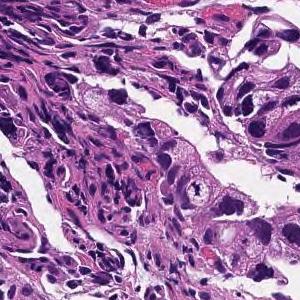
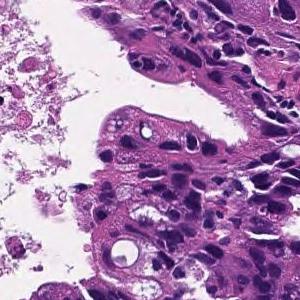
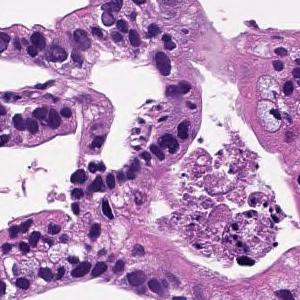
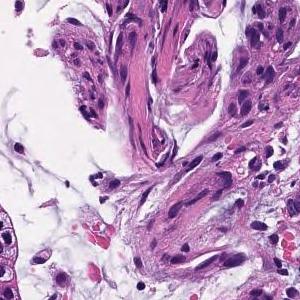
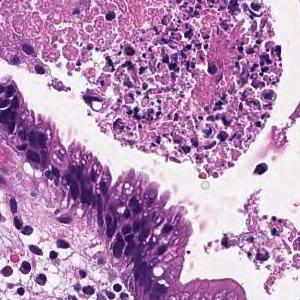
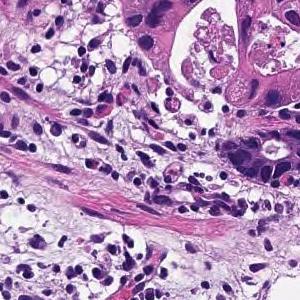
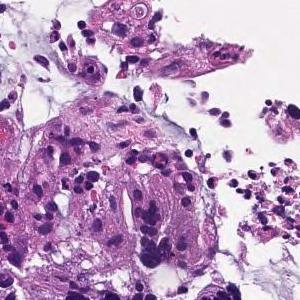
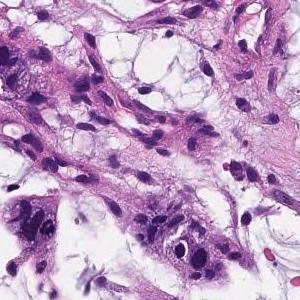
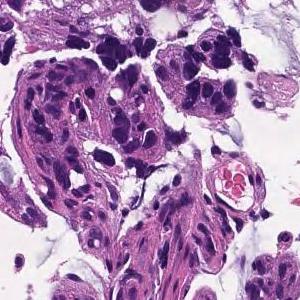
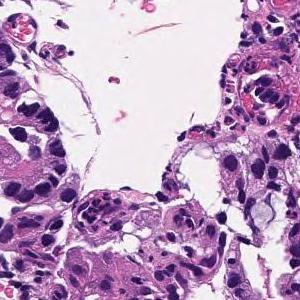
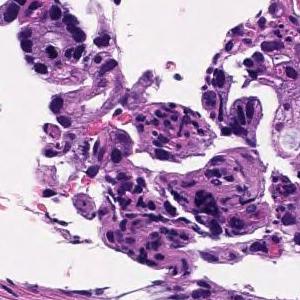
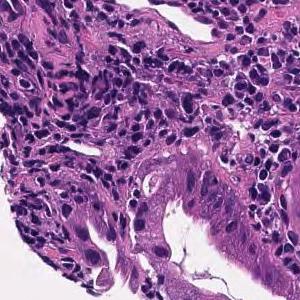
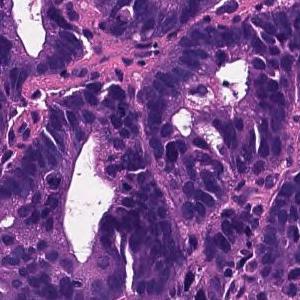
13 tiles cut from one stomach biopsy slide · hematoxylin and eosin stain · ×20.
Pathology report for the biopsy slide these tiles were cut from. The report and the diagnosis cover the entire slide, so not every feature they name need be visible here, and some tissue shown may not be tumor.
In the superficial epithelium, tumor tissue that invades by forming medium-sized to small, irregular ducts is observed. moderately differentiated tubular adenocarcinoma.
